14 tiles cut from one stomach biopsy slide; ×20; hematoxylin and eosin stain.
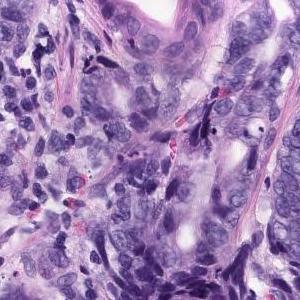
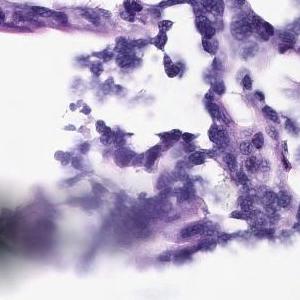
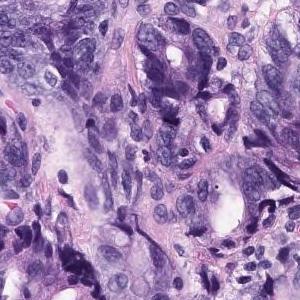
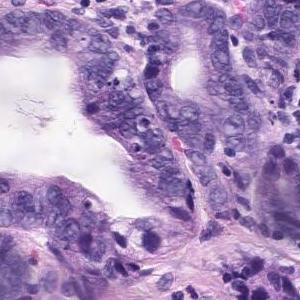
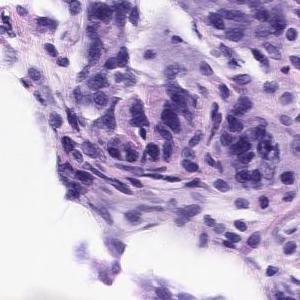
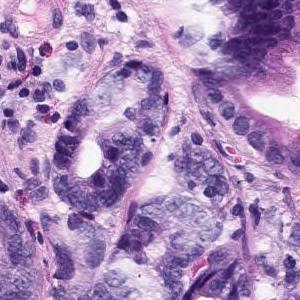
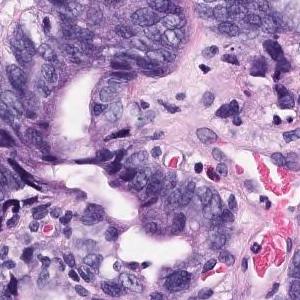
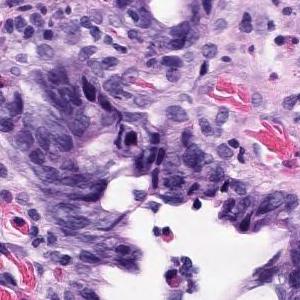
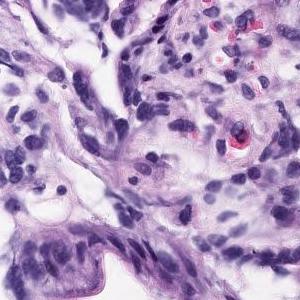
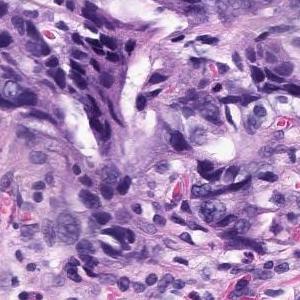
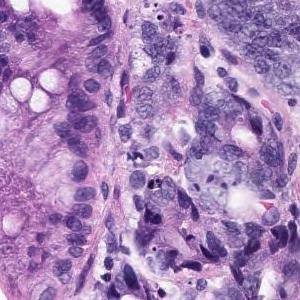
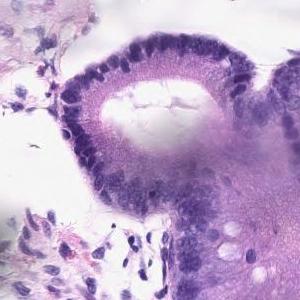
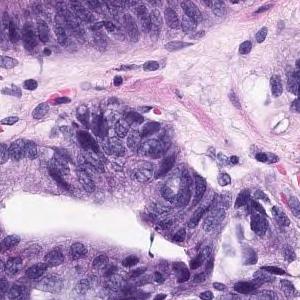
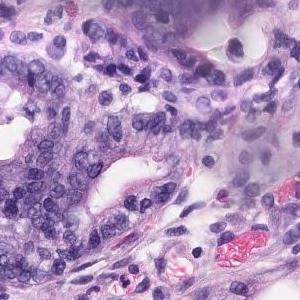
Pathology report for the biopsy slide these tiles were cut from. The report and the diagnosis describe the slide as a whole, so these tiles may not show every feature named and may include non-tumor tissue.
In the superficial epithelium, tumor tissue that invades by forming medium-sized to small, irregular ducts is observed. Moderately differentiated adenocarcinoma
Tumor subtype: moderately differentiated tubular adenocarcinoma.
